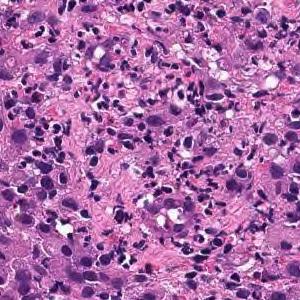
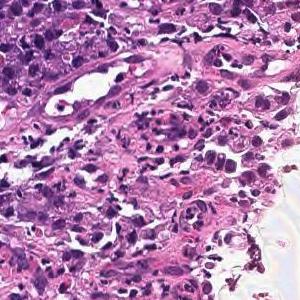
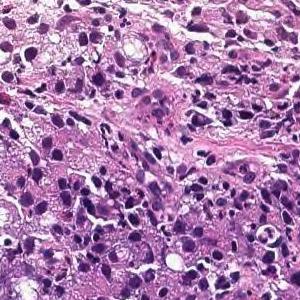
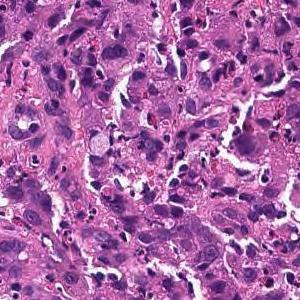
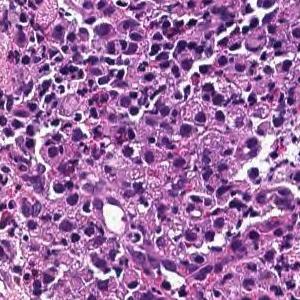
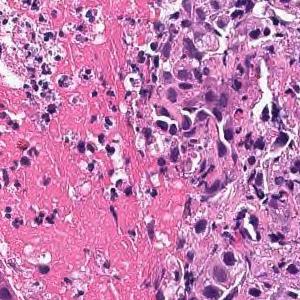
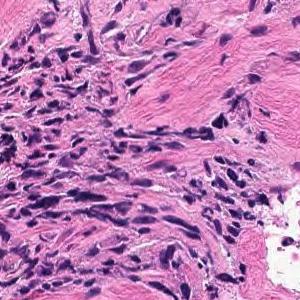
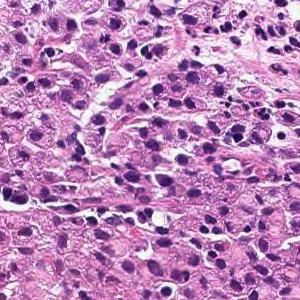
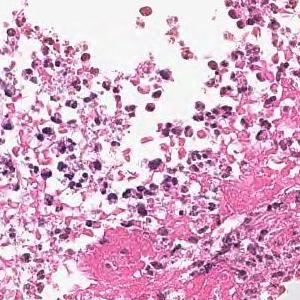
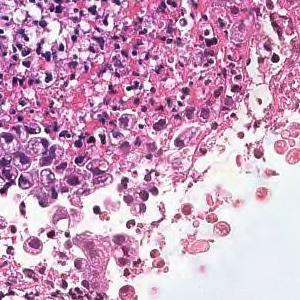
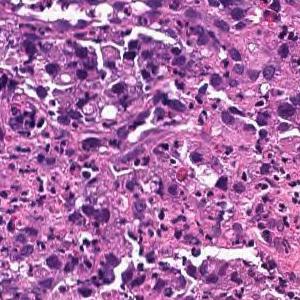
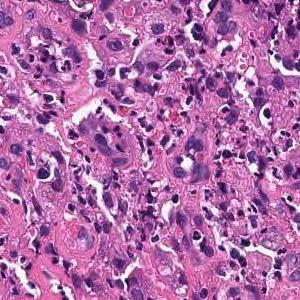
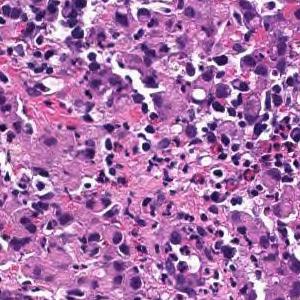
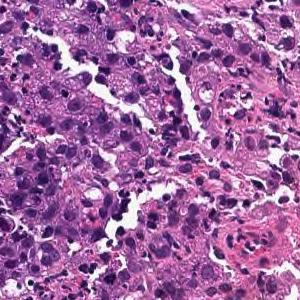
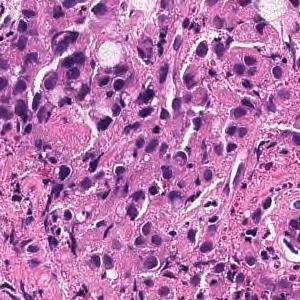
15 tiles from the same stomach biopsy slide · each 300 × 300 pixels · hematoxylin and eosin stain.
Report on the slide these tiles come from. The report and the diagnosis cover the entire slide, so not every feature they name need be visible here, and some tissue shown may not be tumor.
Tumor tissue consisting of diffusely infiltrated large atypical epithelial cells or signet ring atypical cells is observed in the superficial epithelium. Poorly differentiated adenocarcinoma, solid-type
Classified as poorly differentiated adenocarcinoma, solid type, a category of the Japanese Classification of Gastric Carcinoma; in the WHO 2019 classification it is tubular adenocarcinoma, poorly differentiated.
